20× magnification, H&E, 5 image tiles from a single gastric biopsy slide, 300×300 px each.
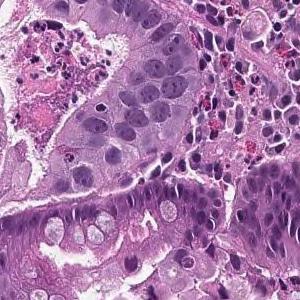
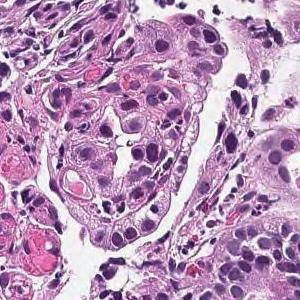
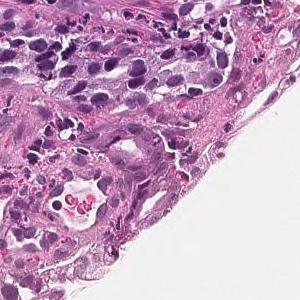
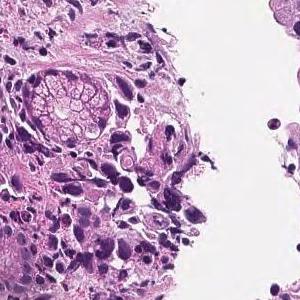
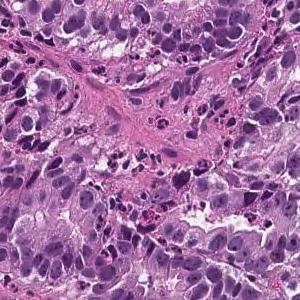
Report on the slide these tiles come from. The report and the diagnosis cover the entire slide, so not every feature they name need be visible here, and some tissue shown may not be tumor.
From the superficial epithelium to the muscularis mucosae, tumor tissue consisting of medium-sized and irregular glandular ducts infiltrating is observed. Well differentiated tubular adenocarcinoma
